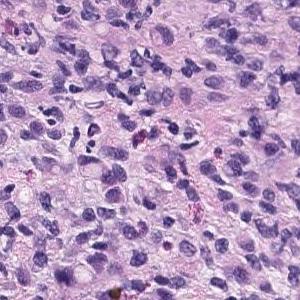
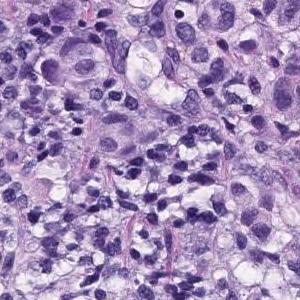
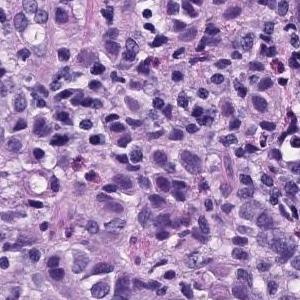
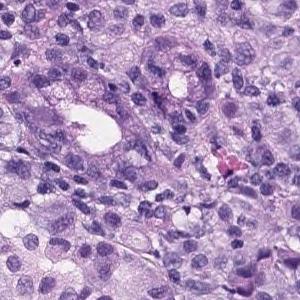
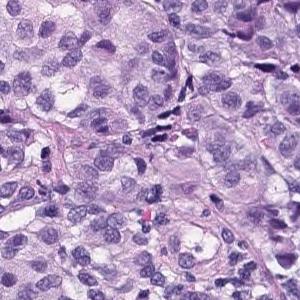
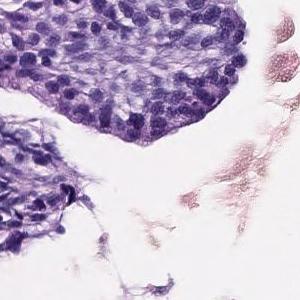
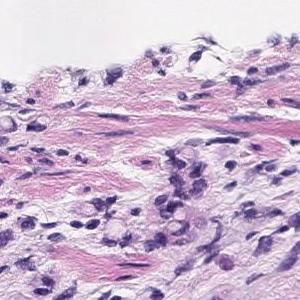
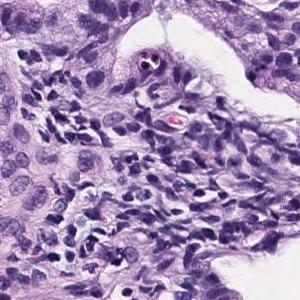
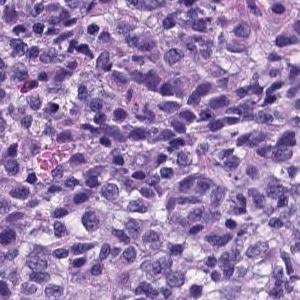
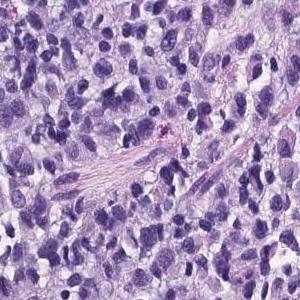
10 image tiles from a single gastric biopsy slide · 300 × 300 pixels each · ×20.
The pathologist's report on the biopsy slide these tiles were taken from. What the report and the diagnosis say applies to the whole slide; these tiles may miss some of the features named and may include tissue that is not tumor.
There are medium-sized atypical cells with marked nuclear swelling and increased N/C ratio, which grow into solid or isolated scattered cells. Poorly differentiated adenocarcinoma
Subtype: Poorly differentiated adenocarcinoma, solid type (Japanese Classification of Gastric Carcinoma). The WHO 2019 equivalent is tubular adenocarcinoma, poorly differentiated.
